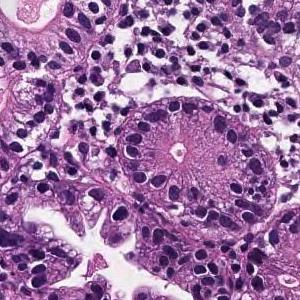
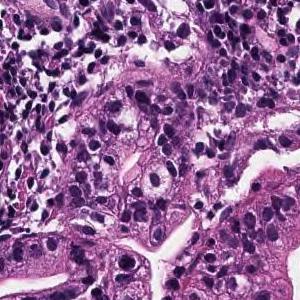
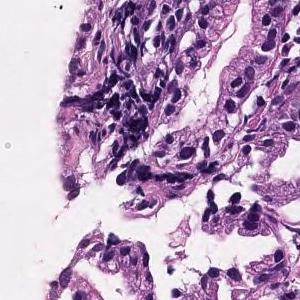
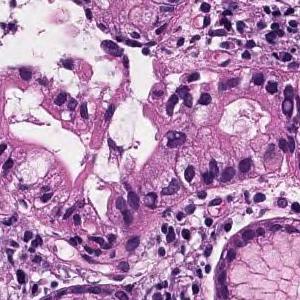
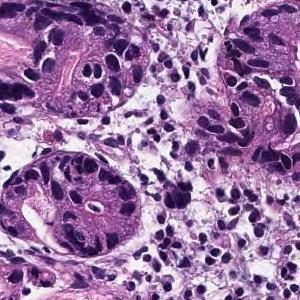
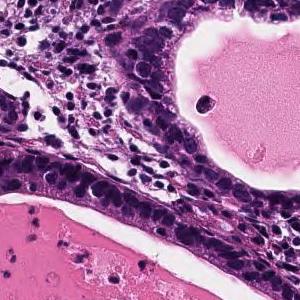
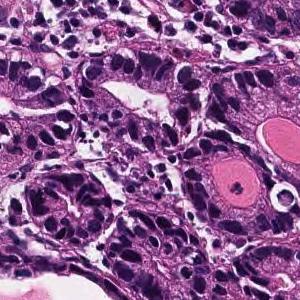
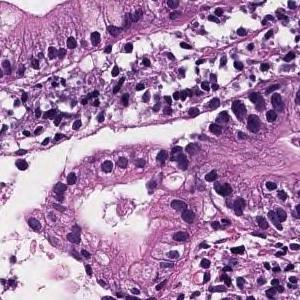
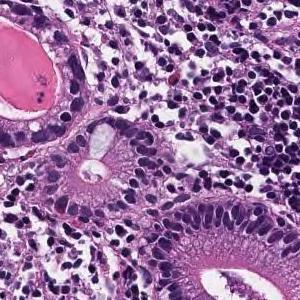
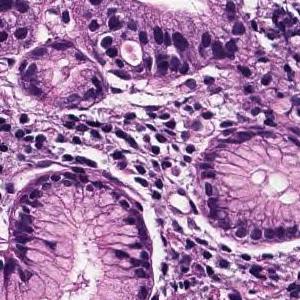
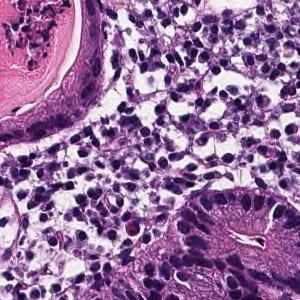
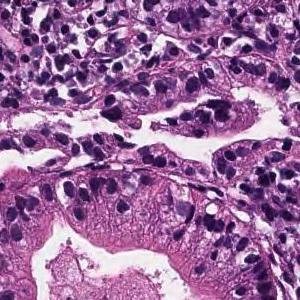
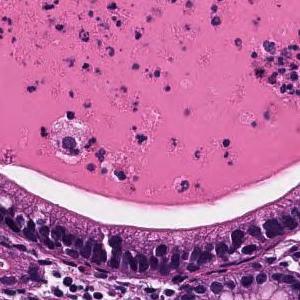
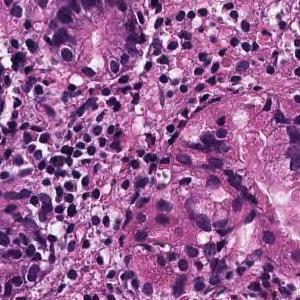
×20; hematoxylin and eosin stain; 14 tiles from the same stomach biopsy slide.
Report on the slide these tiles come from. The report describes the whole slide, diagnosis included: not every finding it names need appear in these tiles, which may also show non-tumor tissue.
From the superficial epithelium to the muscularis mucosae, tumor tissue consisting of medium-sized and irregular glandular ducts infiltrating is observed. Well differentiated tubular adenocarcinoma
